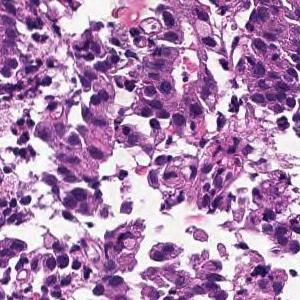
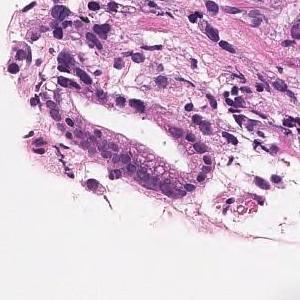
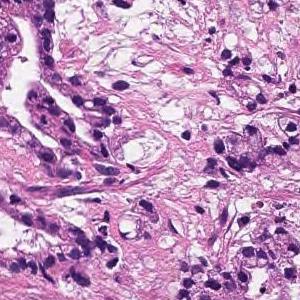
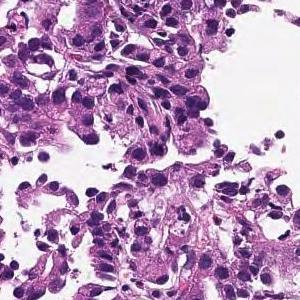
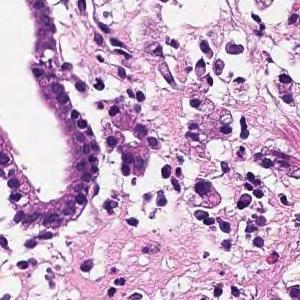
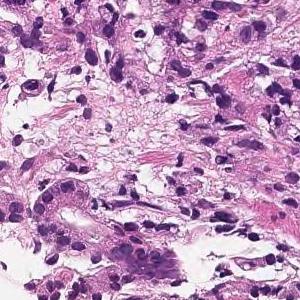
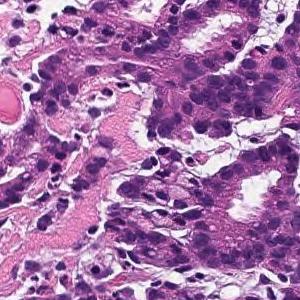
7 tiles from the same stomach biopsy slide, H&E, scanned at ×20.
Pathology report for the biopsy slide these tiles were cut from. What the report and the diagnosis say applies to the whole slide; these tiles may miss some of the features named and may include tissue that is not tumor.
In the superficial epithelium, tumor tissue that invades by forming medium-sized to small, irregular ducts is observed. moderately differentiated tubular adenocarcinoma.
